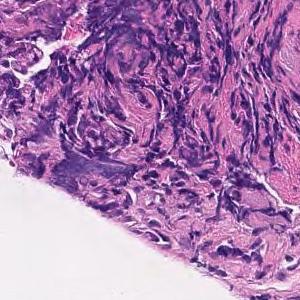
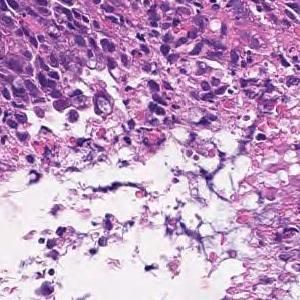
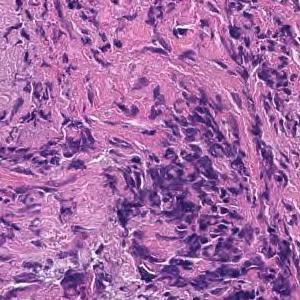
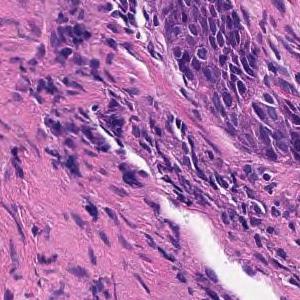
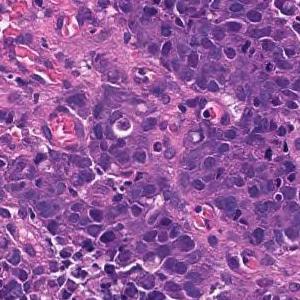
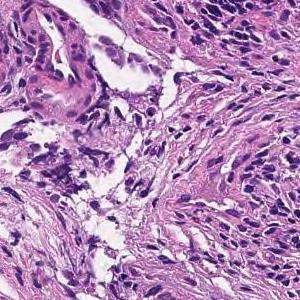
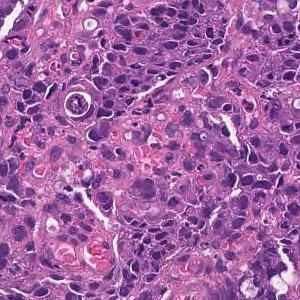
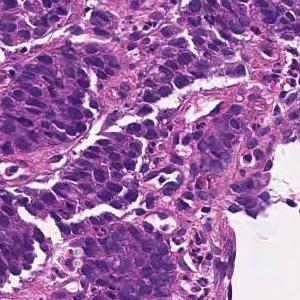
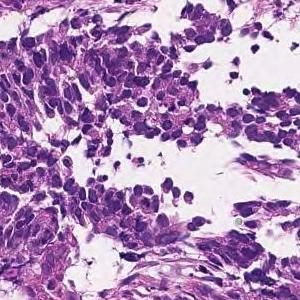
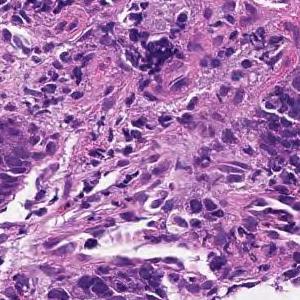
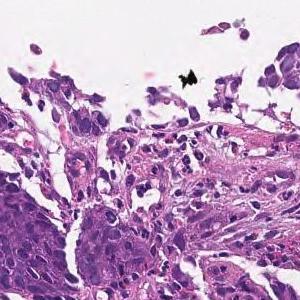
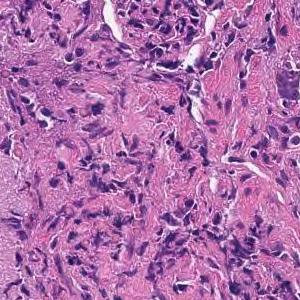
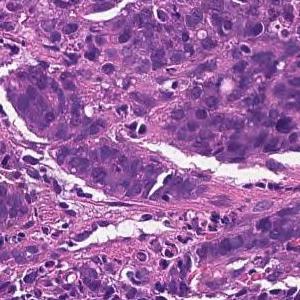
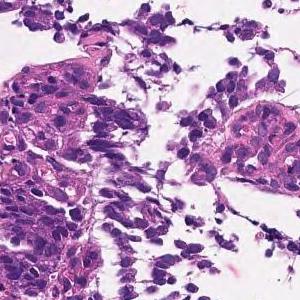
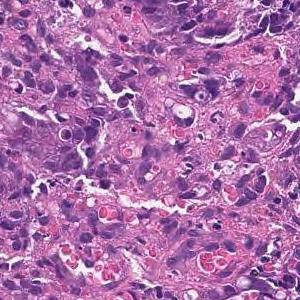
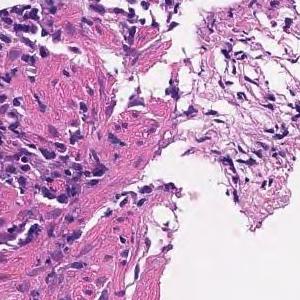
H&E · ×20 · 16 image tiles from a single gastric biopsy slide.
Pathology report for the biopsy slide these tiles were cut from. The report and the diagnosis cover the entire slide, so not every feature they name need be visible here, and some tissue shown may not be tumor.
Tumor tissue consisting of cord-like or small, irregular glandular ducts fused and infiltrated is observed in the superficial epithelium. Poorly differentiated adenocarcinoma, non-solid type
The term "non-solid type" comes from the Japanese Classification of Gastric Carcinoma.
